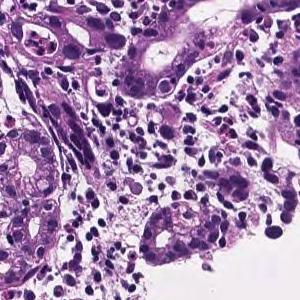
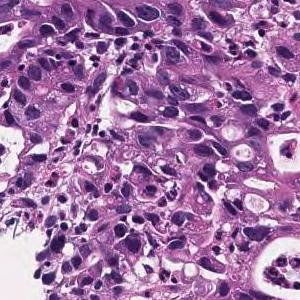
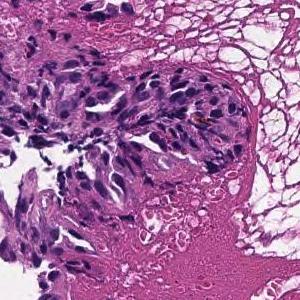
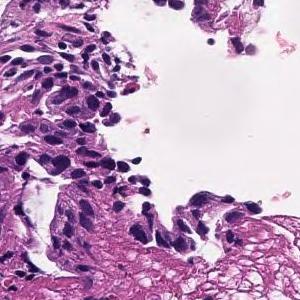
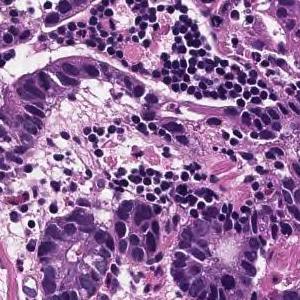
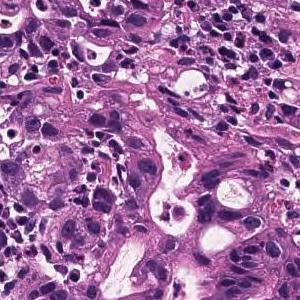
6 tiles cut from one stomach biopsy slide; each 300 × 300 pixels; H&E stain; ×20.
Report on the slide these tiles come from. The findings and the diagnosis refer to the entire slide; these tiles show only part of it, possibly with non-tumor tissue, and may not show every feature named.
In the superficial epithelium, tumor tissue that invades by forming medium-sized to small, irregular ducts is observed. moderately differentiated tubular adenocarcinoma.
